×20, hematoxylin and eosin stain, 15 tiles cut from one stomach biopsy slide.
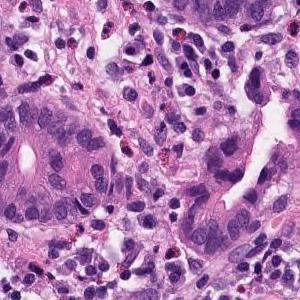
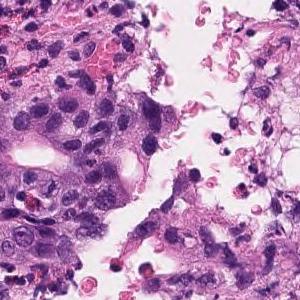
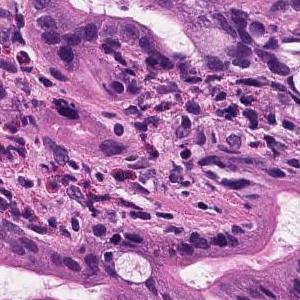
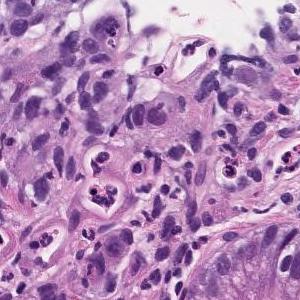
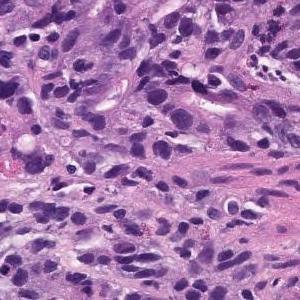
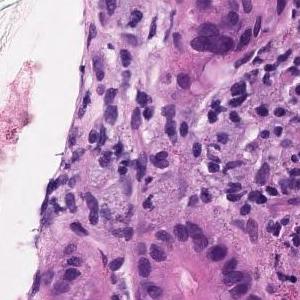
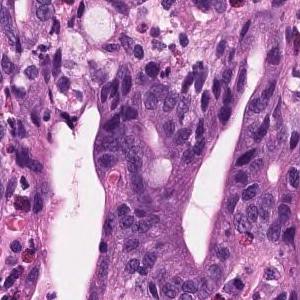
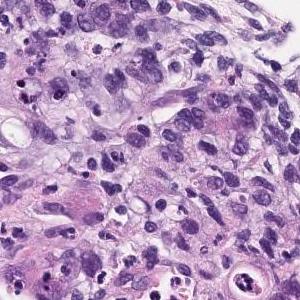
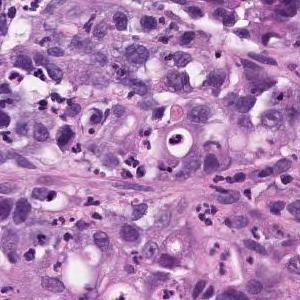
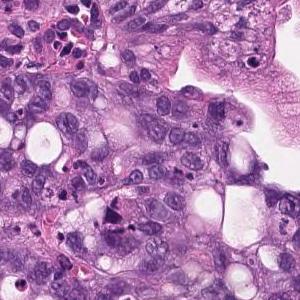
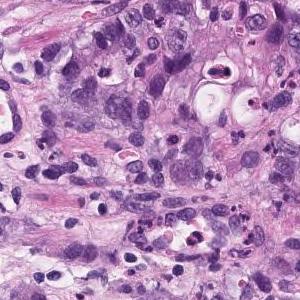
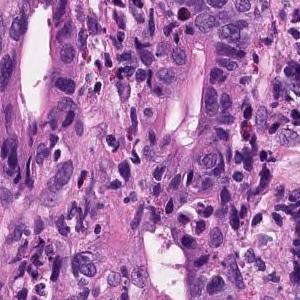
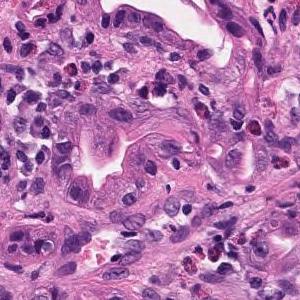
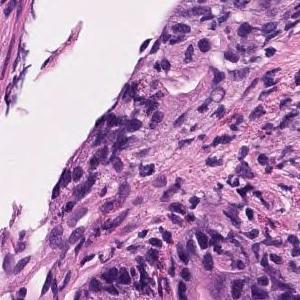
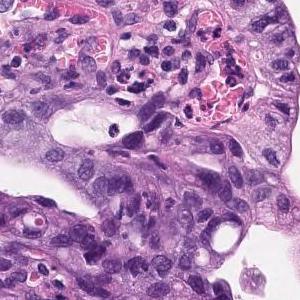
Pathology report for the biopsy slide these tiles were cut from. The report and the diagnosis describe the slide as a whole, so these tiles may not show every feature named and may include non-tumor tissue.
moderately differentiated tubular adenocarcinoma, Poorly differentiated adenocarcinoma
Dataset label: poorly differentiated adenocarcinoma, solid type. This name comes from the Japanese Classification of Gastric Carcinoma; the WHO 2019 classification calls it tubular adenocarcinoma, poorly differentiated.
